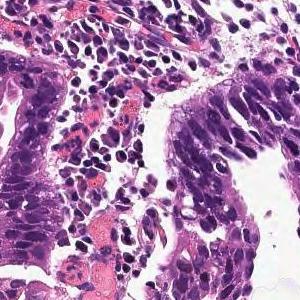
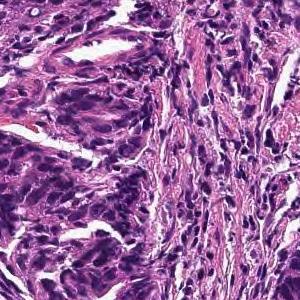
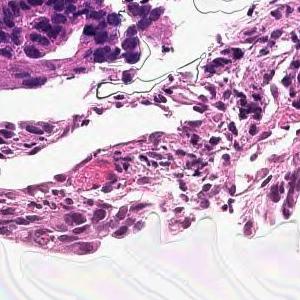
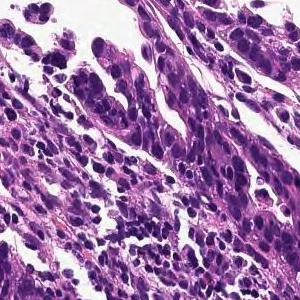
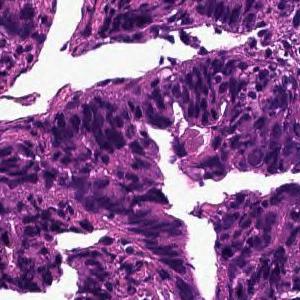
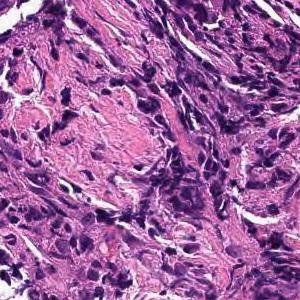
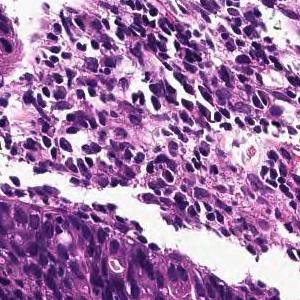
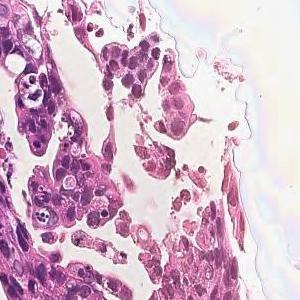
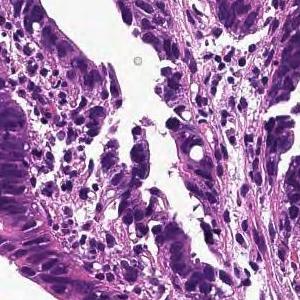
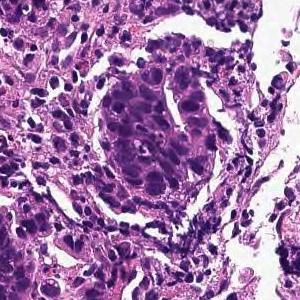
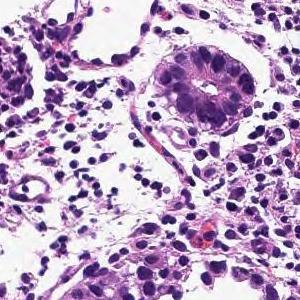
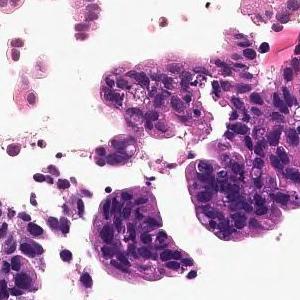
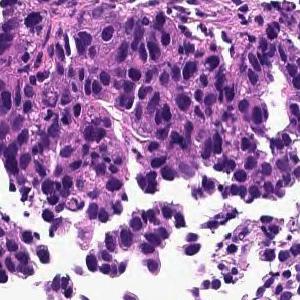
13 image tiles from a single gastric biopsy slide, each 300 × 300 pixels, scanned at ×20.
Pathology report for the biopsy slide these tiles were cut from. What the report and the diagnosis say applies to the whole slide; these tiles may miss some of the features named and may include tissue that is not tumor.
In the superficial epithelium, tumor tissue that invades by forming medium-sized to small, irregular ducts is observed. moderately differentiated tubular adenocarcinoma.
